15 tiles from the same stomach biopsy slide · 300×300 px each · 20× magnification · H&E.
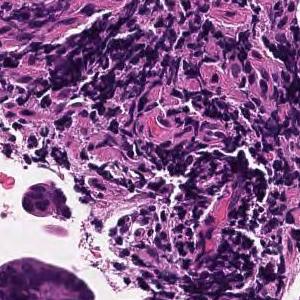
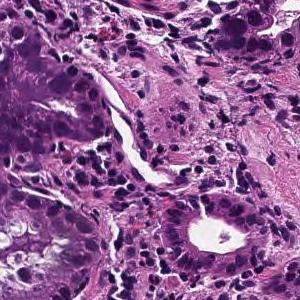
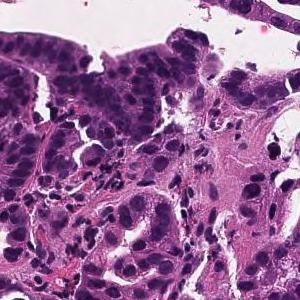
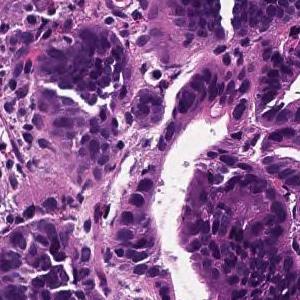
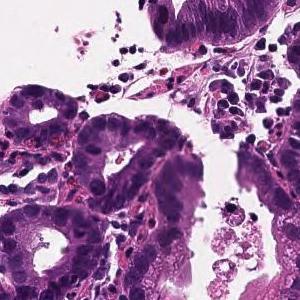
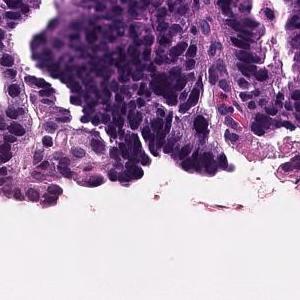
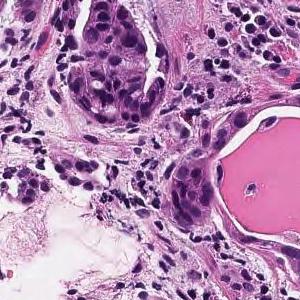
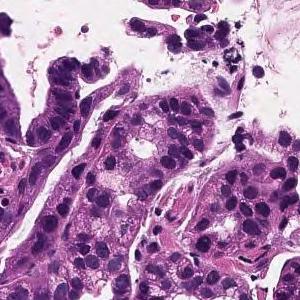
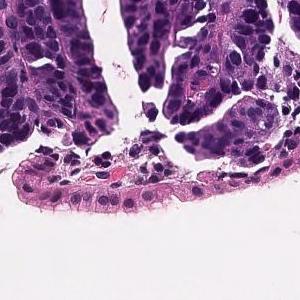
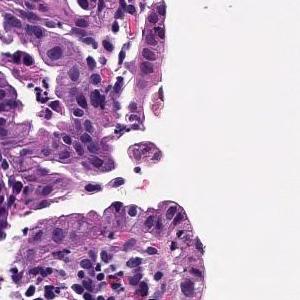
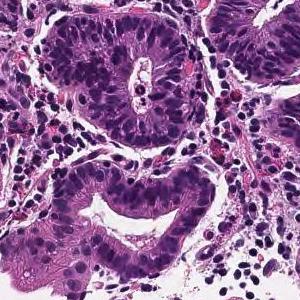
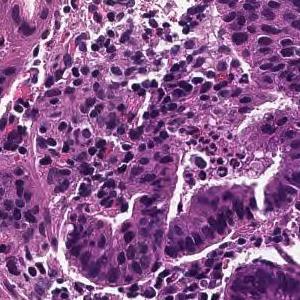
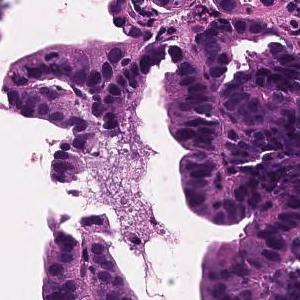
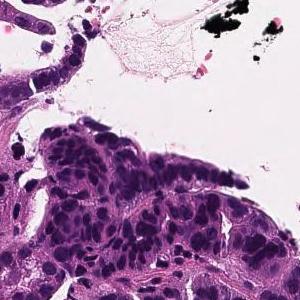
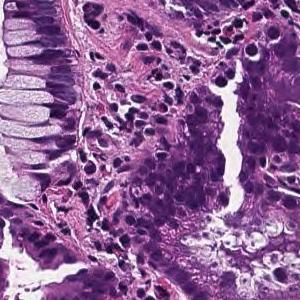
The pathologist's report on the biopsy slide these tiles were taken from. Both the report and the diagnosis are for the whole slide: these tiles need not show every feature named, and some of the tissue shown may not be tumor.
From the superficial epithelium to the muscularis mucosae, tumor tissue that invades by forming medium-sized to small irregular gland ducts is observed. Well differentiated tubular adenocarcinoma (well differentiated tubular adenocarcinoma)
Histological subtype: Well differentiated tubular adenocarcinoma.
